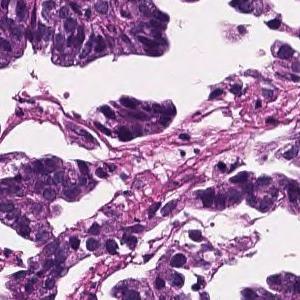
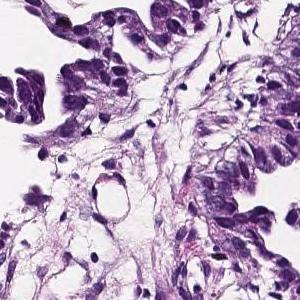
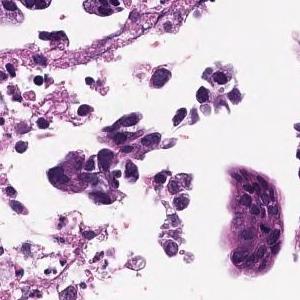
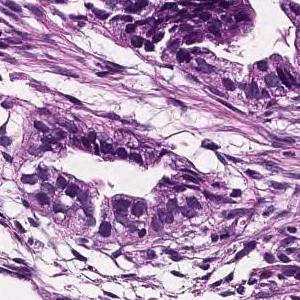
4 tiles from the same stomach biopsy slide, 300×300 px each, hematoxylin and eosin stain.
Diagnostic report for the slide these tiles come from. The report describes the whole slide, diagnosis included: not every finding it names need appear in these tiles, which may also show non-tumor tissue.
In the lamina propria, tumor tissue that invades by forming medium-sized to small, irregular glandular ducts is observed. moderately differentiated tubular adenocarcinoma
